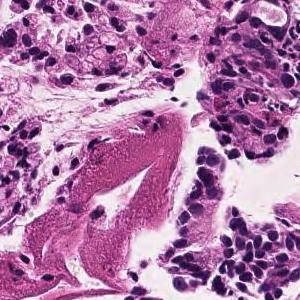
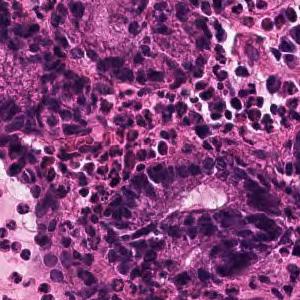
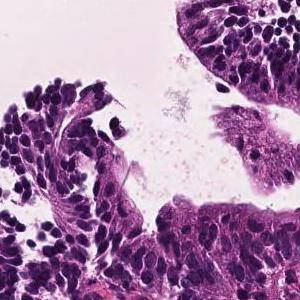
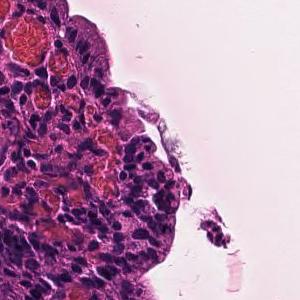
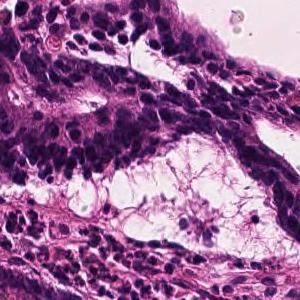
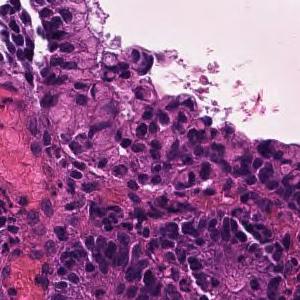
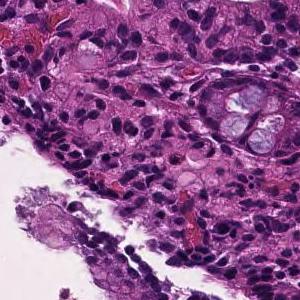
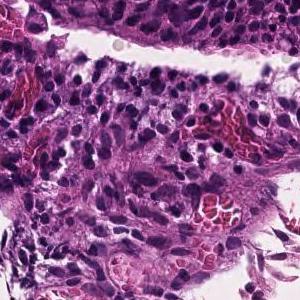
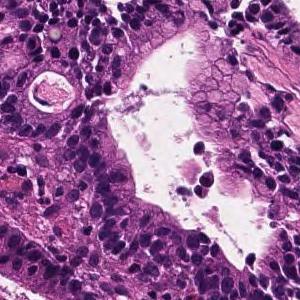
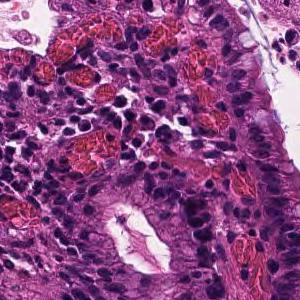
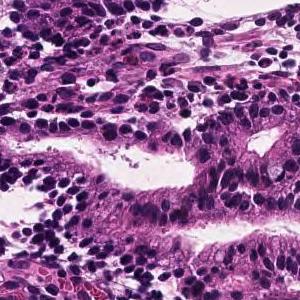
20× magnification, hematoxylin and eosin stain, 11 tiles from the same stomach biopsy slide, 300×300 px each.
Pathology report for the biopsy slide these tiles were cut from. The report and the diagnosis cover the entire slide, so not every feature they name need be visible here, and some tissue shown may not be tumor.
In the superficial epithelium, tumor tissue that invades by forming medium-sized to small, irregular ducts is observed. moderately differentiated tubular adenocarcinoma.
